H&E stain, scanned at ×20, 15 tiles from the same stomach biopsy slide.
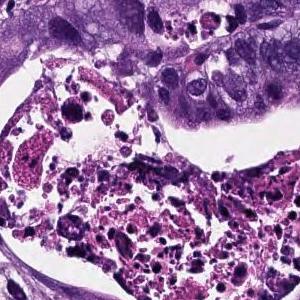
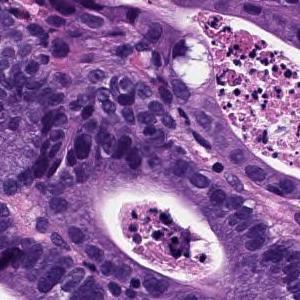
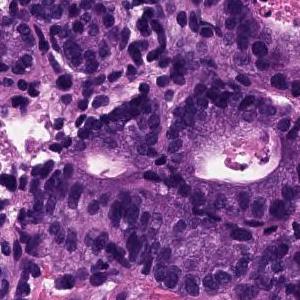
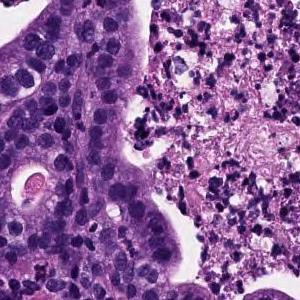
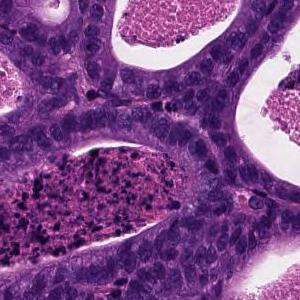
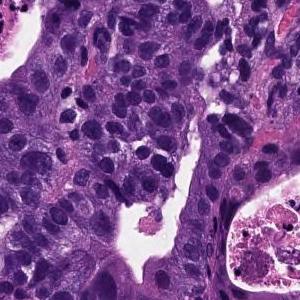
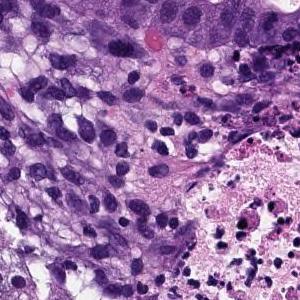
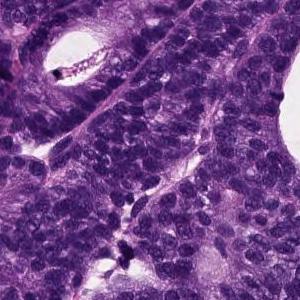
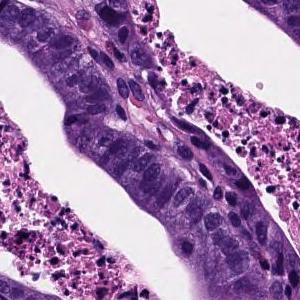
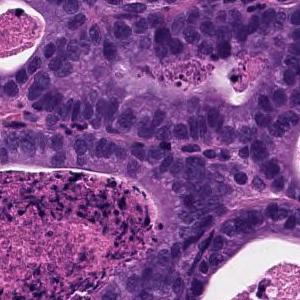
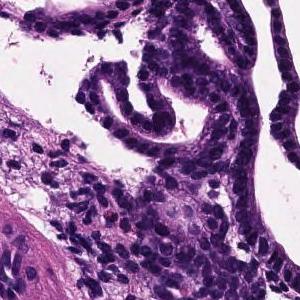
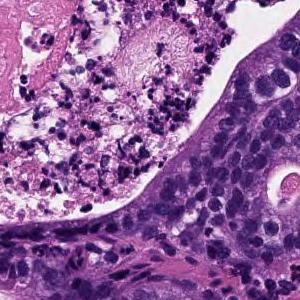
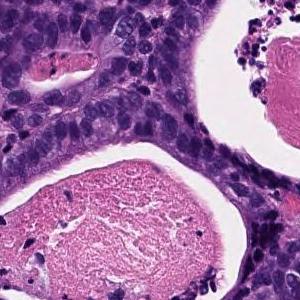
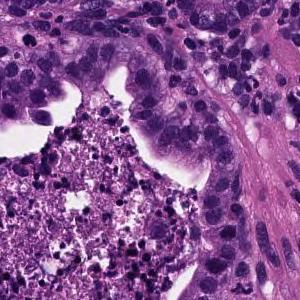
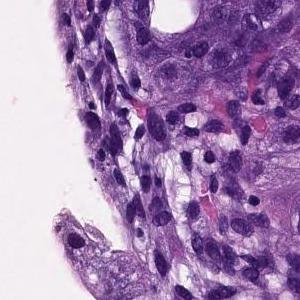
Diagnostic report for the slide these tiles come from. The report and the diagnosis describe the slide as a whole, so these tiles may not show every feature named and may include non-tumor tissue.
From the superficial epithelium to the muscularis mucosae, tumor tissue consisting of medium-sized and irregular glandular ducts infiltrating is observed. Well differentiated tubular adenocarcinoma
